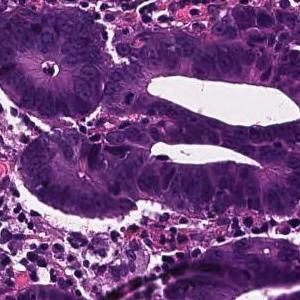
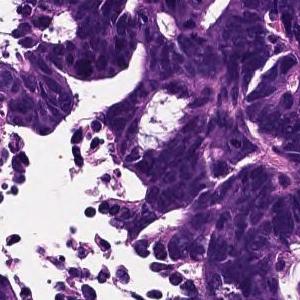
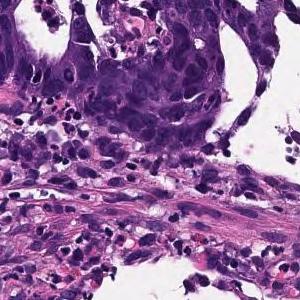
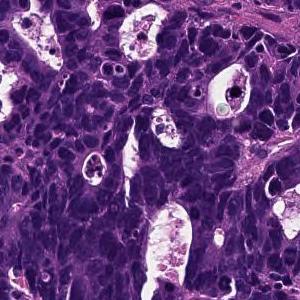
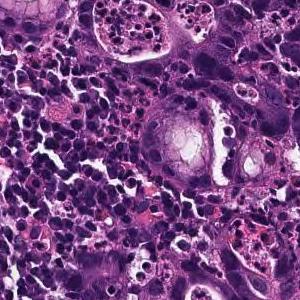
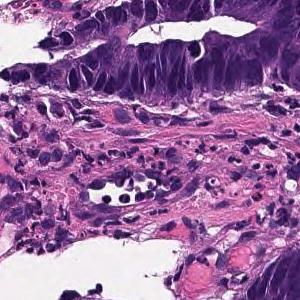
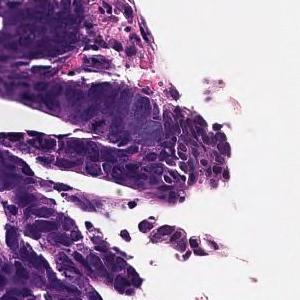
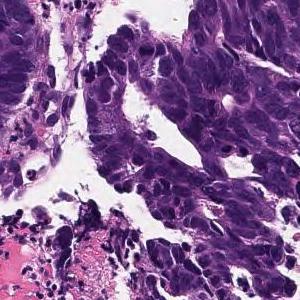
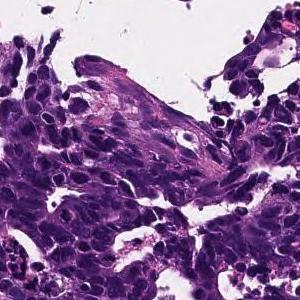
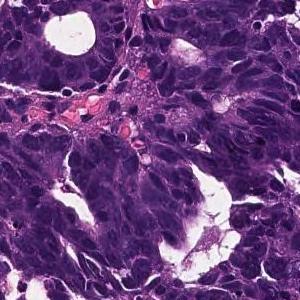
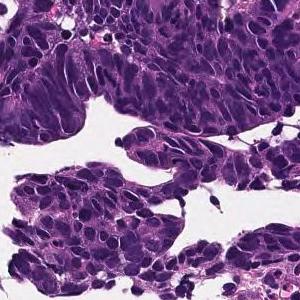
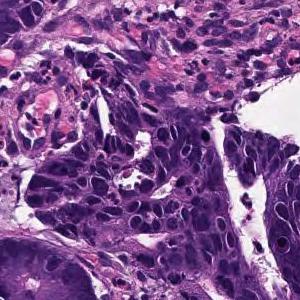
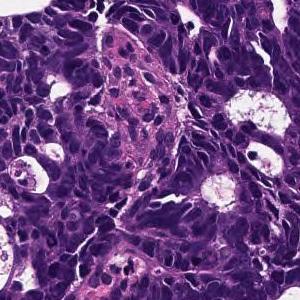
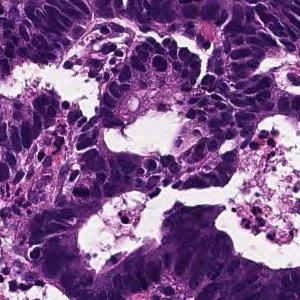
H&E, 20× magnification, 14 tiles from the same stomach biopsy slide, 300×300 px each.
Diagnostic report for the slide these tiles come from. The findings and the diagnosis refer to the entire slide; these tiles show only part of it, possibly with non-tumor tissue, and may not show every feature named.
In the superficial epithelium, tumor tissue that invades by forming medium-sized to small, irregular ducts is observed. moderately differentiated tubular adenocarcinoma.
